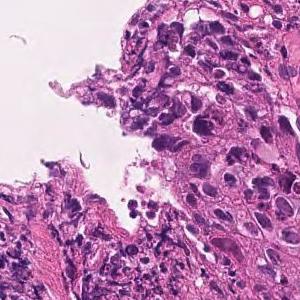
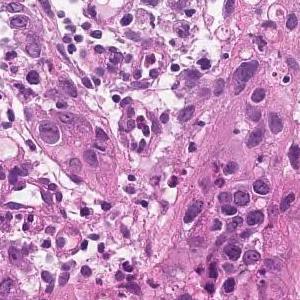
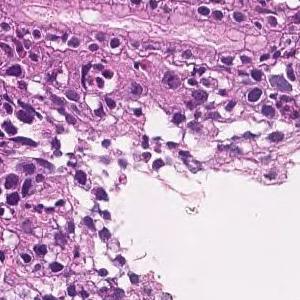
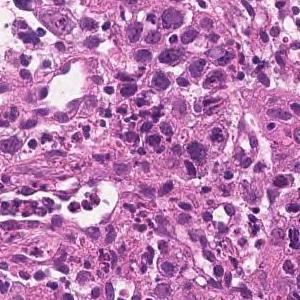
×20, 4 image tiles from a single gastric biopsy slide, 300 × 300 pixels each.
Pathology report for the biopsy slide these tiles were cut from. The report describes the whole slide, diagnosis included: not every finding it names need appear in these tiles, which may also show non-tumor tissue.
The superficial epithelium shows a large sheet-like shape, and some tumor tissue infiltrates with small irregular ducts. Poorly differentiated adenocarcinoma, solid-type
Tumor subtype: poorly differentiated adenocarcinoma, solid type (Japanese Classification of Gastric Carcinoma). The WHO 2019 equivalent is tubular adenocarcinoma, poorly differentiated.
